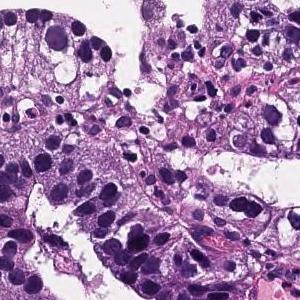
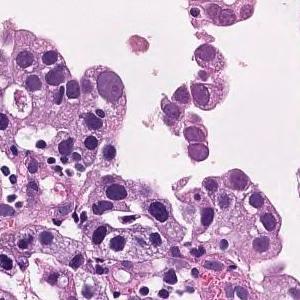
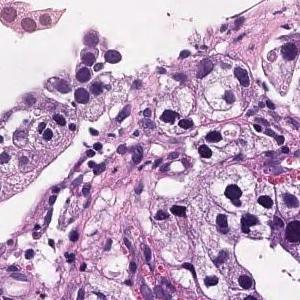
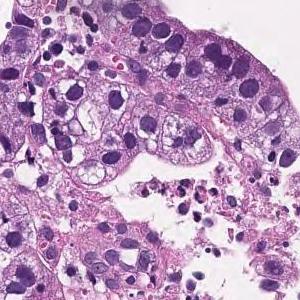
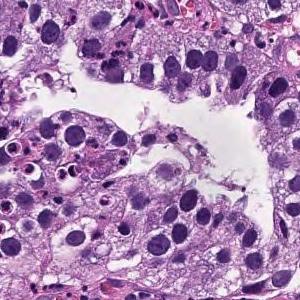
20× magnification, 5 tiles from the same stomach biopsy slide.
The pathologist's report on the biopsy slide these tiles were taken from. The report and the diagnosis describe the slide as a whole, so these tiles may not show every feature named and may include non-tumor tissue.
On the superficial epithelium, tumor tissue that infiltrates by forming medium-sized papillary or small irregular ducts is observed. Papillary adenocarcinoma
